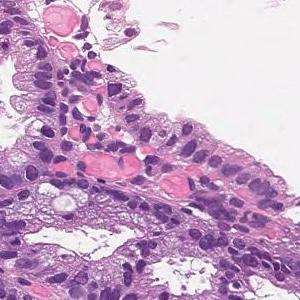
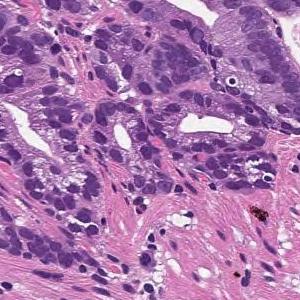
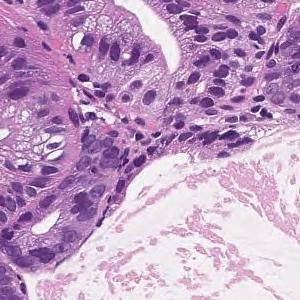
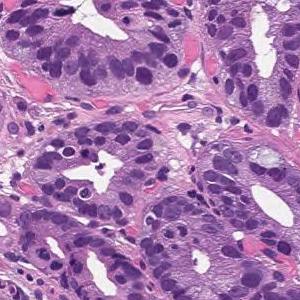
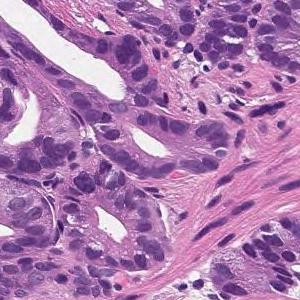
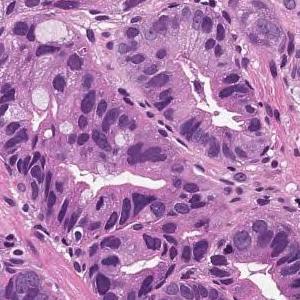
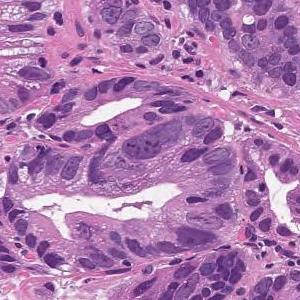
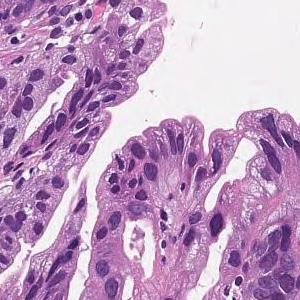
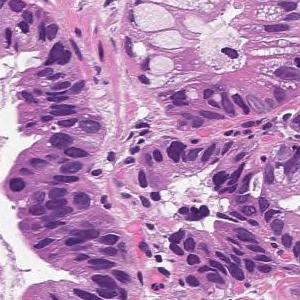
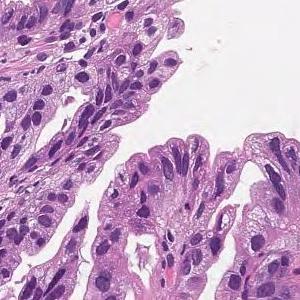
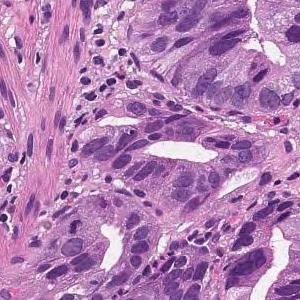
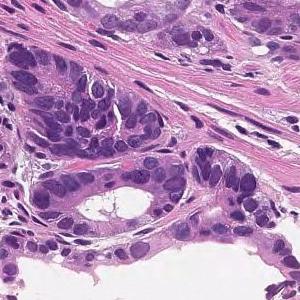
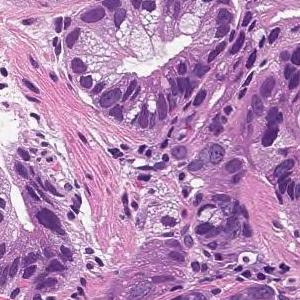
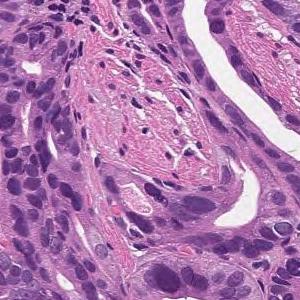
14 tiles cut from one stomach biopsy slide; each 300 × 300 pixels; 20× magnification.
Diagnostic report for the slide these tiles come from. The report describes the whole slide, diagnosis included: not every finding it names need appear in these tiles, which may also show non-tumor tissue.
On the superficial epithelium, tumor tissue consisting of large irregular glandular ducts partially fused and infiltrated is observed. Well to moderately differentiated tubular adenocarcinoma (well differentiated tubular adenocarcinoma, moderately differentiated tubular adenocarcinoma)
Tumor subtype: well to moderately differentiated tubular adenocarcinoma.
